12 tiles from the same stomach biopsy slide, 300×300 px each, H&E.
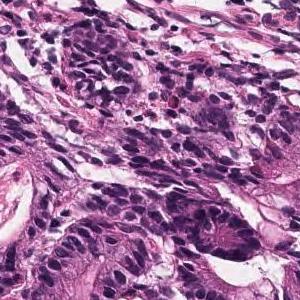
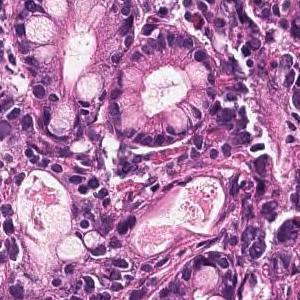
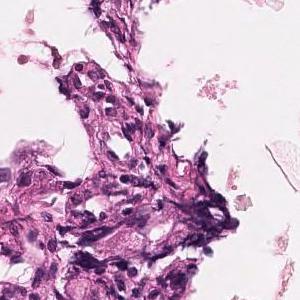
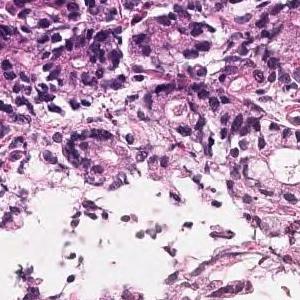
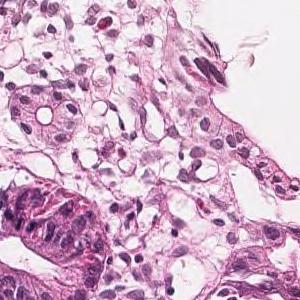
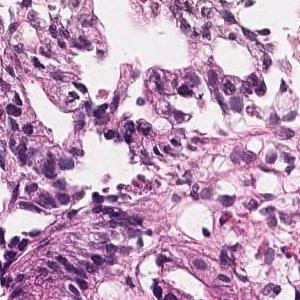
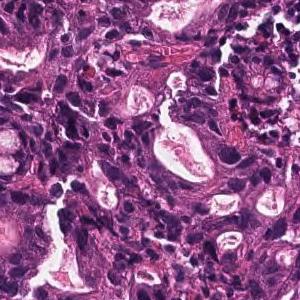
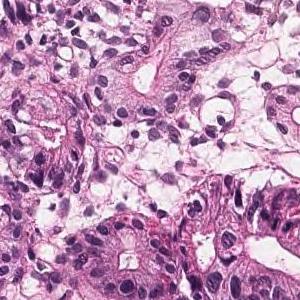
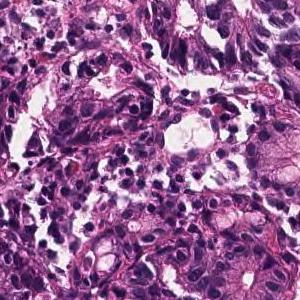
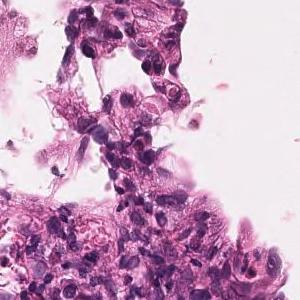
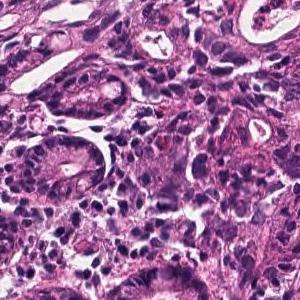
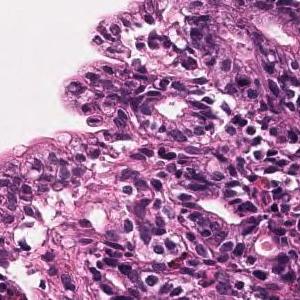
Report on the slide these tiles come from. The findings and the diagnosis refer to the entire slide; these tiles show only part of it, possibly with non-tumor tissue, and may not show every feature named.
On the superficial epithelium, tumor tissue consisting of large, irregular glandular ducts partially fused and infiltrated is observed. Well to moderately differentiated tubular adenocarcinoma (well differentiated tubular adenocarcinoma, moderately differentiated tubular adenocarcinoma)
Histologic type: Well to moderately differentiated tubular adenocarcinoma.
